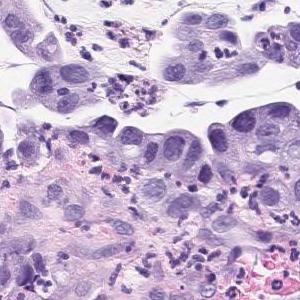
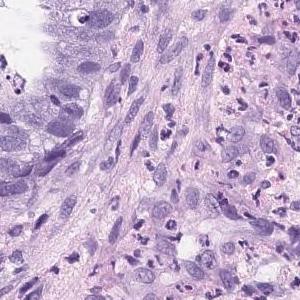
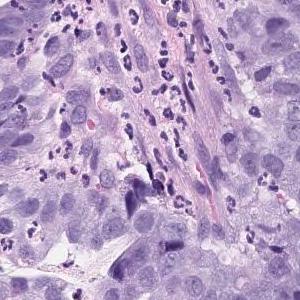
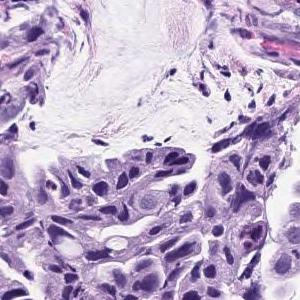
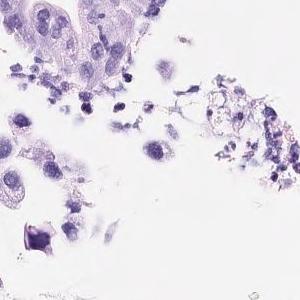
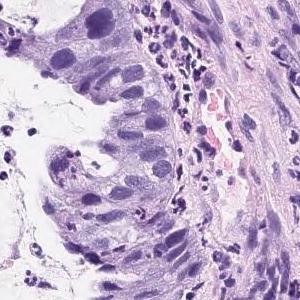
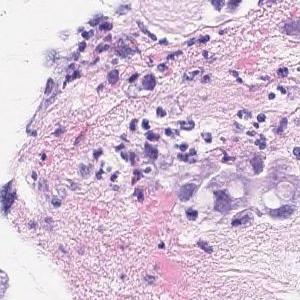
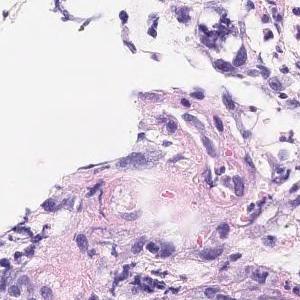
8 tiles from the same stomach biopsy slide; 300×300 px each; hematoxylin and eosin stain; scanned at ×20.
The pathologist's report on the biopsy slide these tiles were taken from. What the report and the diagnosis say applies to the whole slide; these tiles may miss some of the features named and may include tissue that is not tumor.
Atypical l cells with atypical nuclei forming solid or diffuse vesicles or small irregular atypical ducts and growing in a complex manner. Well differentiated tubular adenocarcinoma
